H&E, ×20, 5 image tiles from a single gastric biopsy slide, 300 × 300 pixels each.
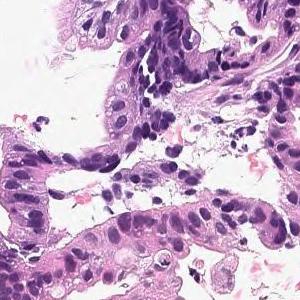
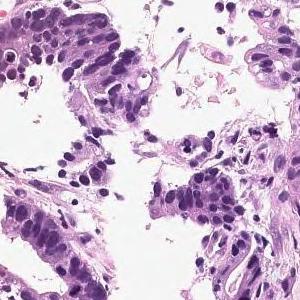
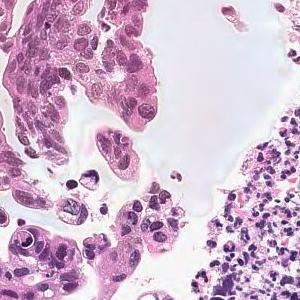
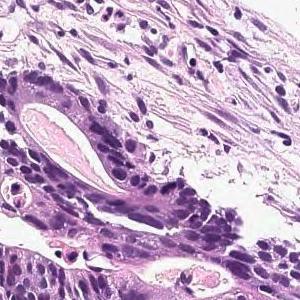
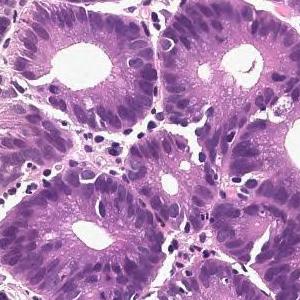
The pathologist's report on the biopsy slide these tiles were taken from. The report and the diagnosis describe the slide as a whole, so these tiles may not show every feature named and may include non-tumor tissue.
In the superficial epithelium, tumor tissue that invades by forming medium-sized to small, irregular ducts is observed. moderately differentiated tubular adenocarcinoma.
